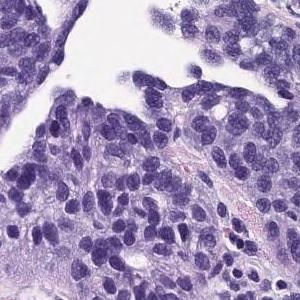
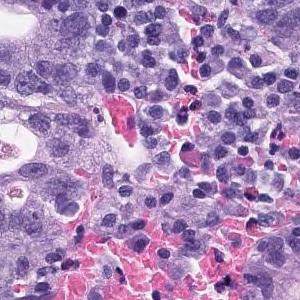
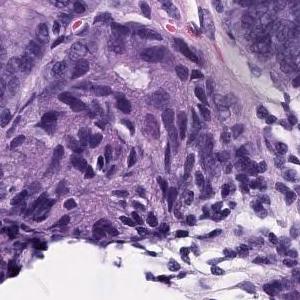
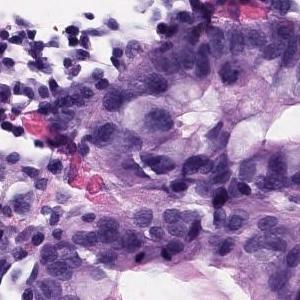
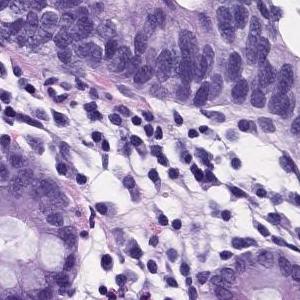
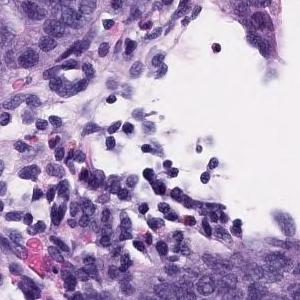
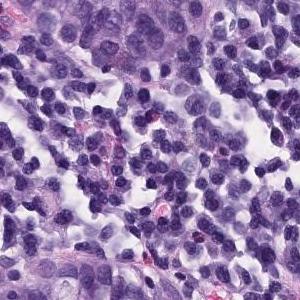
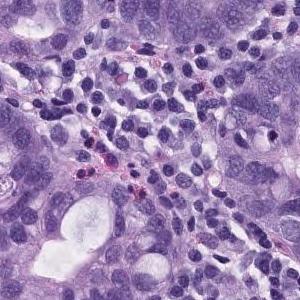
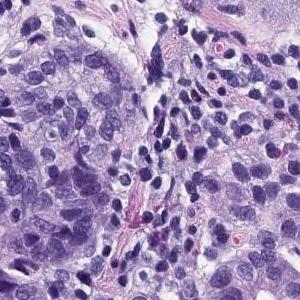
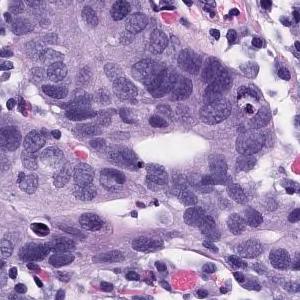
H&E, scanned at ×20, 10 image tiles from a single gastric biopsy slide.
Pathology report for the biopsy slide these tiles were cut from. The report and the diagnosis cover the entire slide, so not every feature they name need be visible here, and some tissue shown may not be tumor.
In the superficial epithelium, tumor tissue that invades by forming medium-sized to small, irregular ducts is observed. Moderately differentiated adenocarcinoma.
Tumor subtype: moderately differentiated tubular adenocarcinoma.
